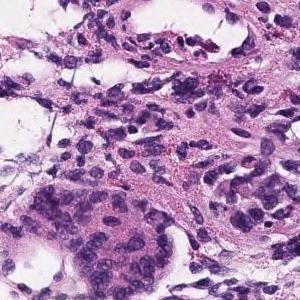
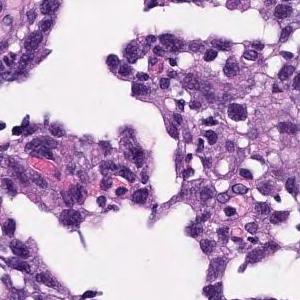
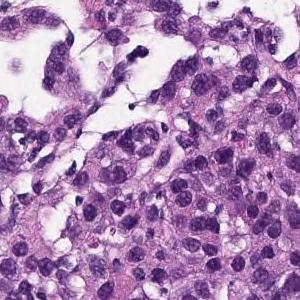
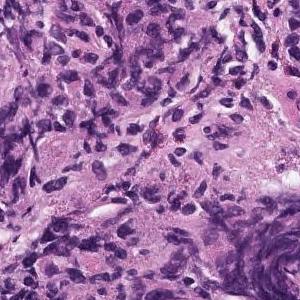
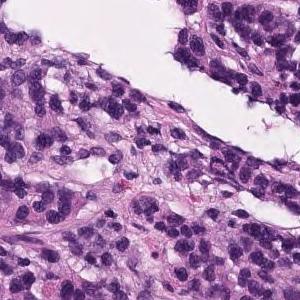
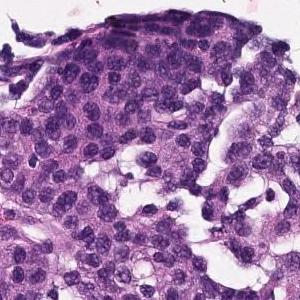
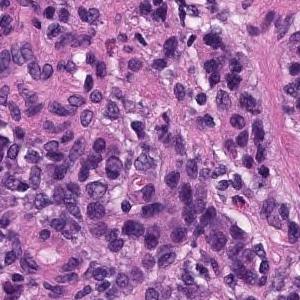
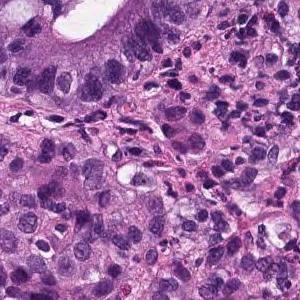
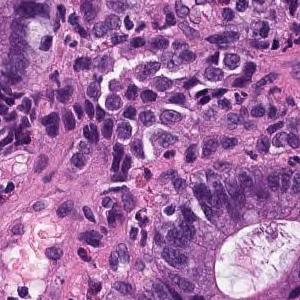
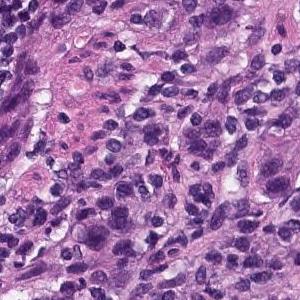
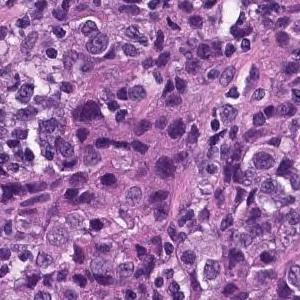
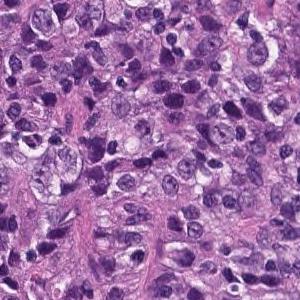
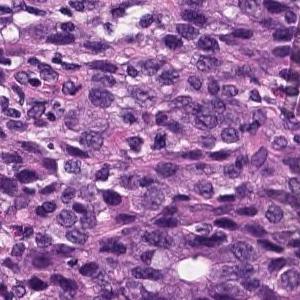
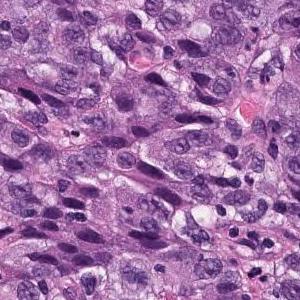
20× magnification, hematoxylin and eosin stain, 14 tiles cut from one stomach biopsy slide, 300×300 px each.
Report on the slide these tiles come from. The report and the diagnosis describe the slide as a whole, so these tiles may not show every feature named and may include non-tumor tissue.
In the superficial epithelium, tumor tissue that invades by forming medium-sized to small, irregular ducts is observed. Moderately differentiated adenocarcinoma.
Subtype: Moderately differentiated tubular adenocarcinoma.
